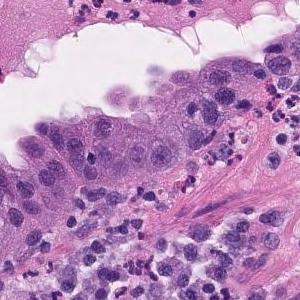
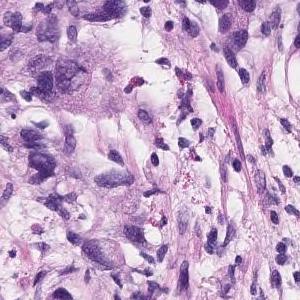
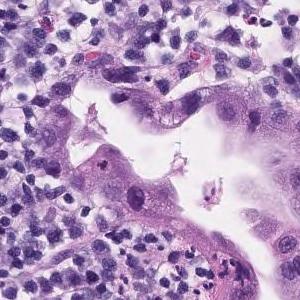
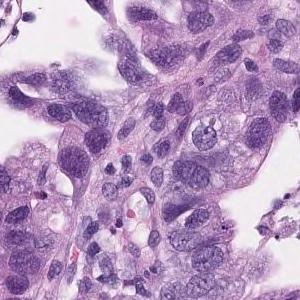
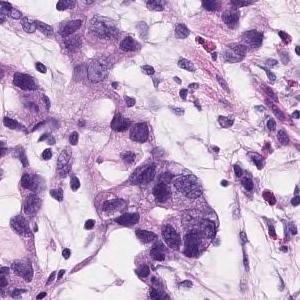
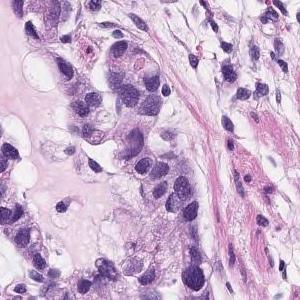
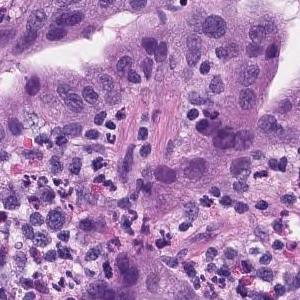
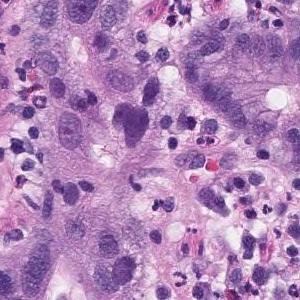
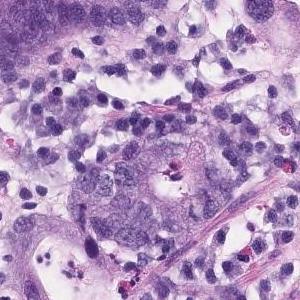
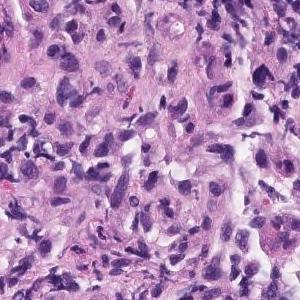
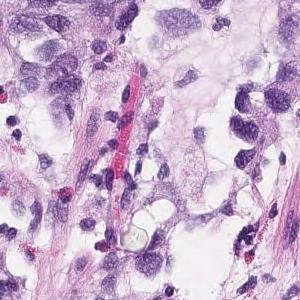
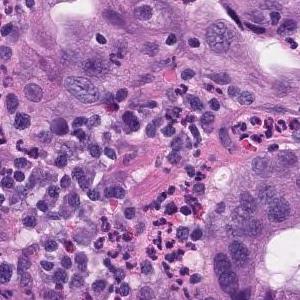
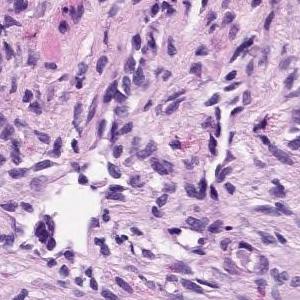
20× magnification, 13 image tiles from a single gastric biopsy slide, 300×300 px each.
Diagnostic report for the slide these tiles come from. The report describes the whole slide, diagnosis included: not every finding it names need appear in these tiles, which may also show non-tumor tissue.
Group 5, Adenocarcinoma. Moderately to poorly differentiated adenocarcinoma
